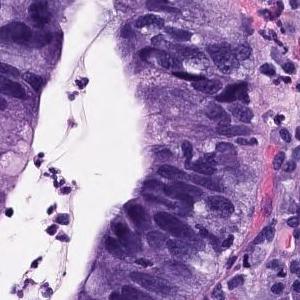
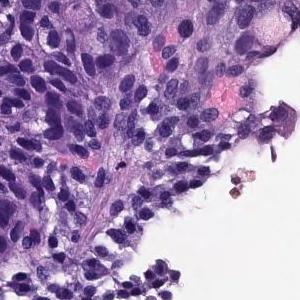
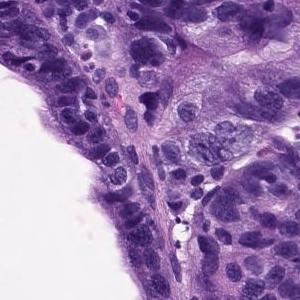
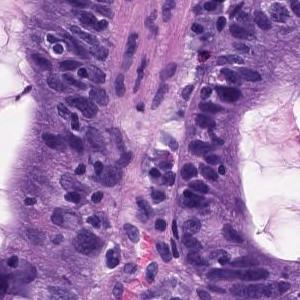
Scanned at ×20 · 4 patches cut from one gastric biopsy slide.
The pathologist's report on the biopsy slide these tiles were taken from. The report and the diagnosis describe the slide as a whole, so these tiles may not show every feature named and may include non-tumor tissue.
There are atypical l cells with atypical nuclei forming irregular glandular ducts and growing in a complex manner. Well differentiated tubular adenocarcinoma
